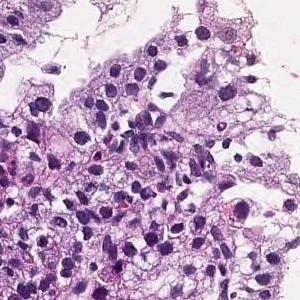
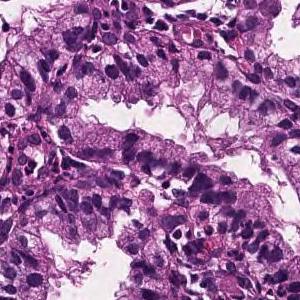
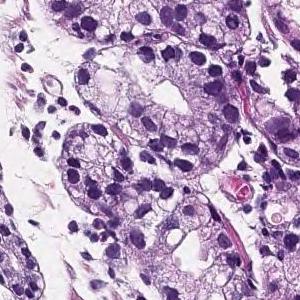
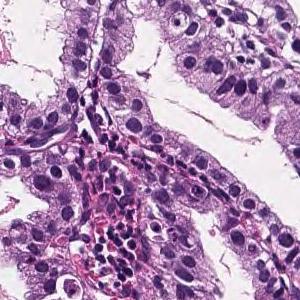
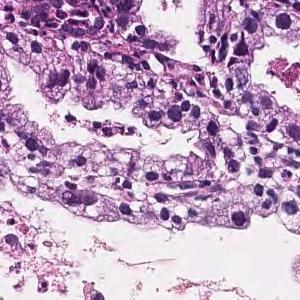
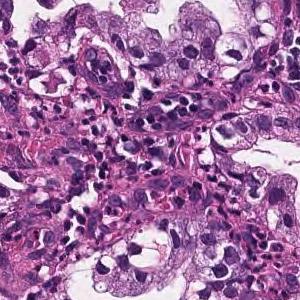
6 image tiles from a single gastric biopsy slide · scanned at ×20 · H&E stain.
Report on the slide these tiles come from. The report and the diagnosis cover the entire slide, so not every feature they name need be visible here, and some tissue shown may not be tumor.
In the superficial epithelium, tumor tissue that infiltrates by forming medium-sized papillary or small irregular ducts is observed. Papillary adenocarcinoma
